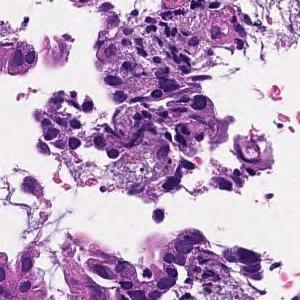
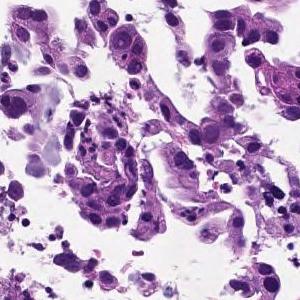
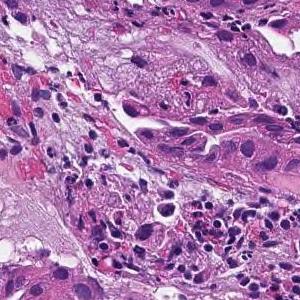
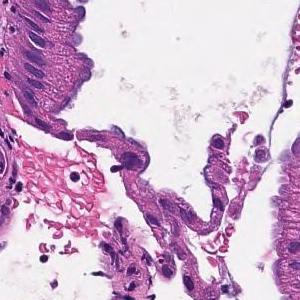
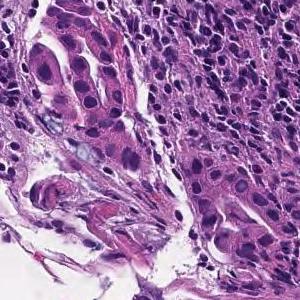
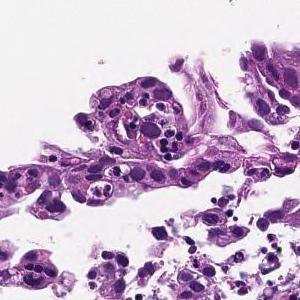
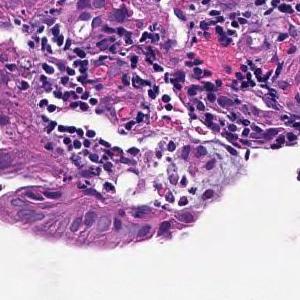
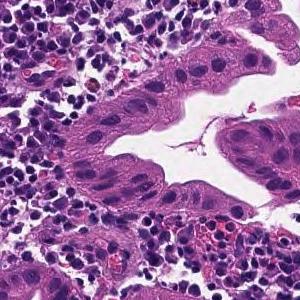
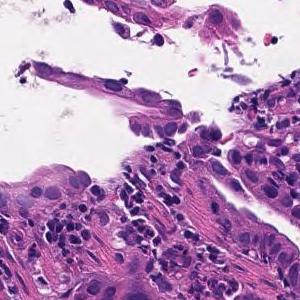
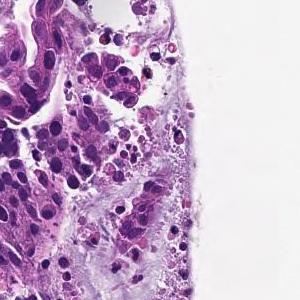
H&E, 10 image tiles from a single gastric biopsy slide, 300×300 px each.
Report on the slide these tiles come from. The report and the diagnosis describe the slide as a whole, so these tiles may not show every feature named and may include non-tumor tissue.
On the superficial epithelium, tumor tissue that infiltrates by forming medium-sized papillary or small irregular ducts is observed. Papillary adenocarcinoma
